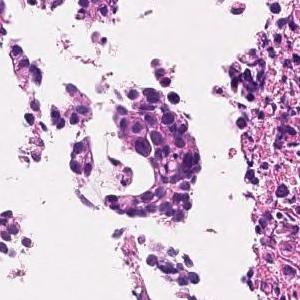
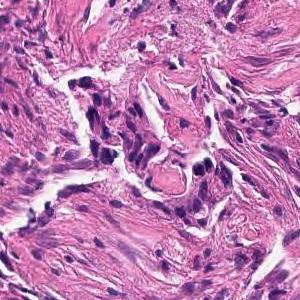
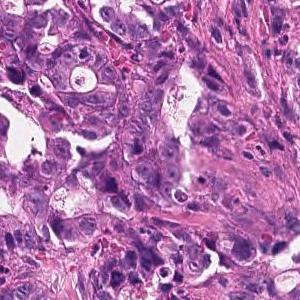
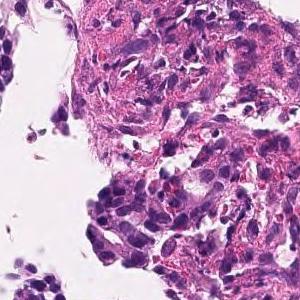
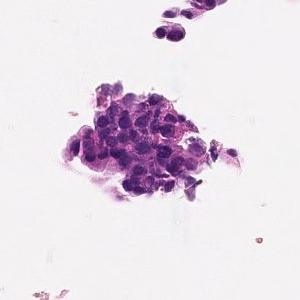
H&E stain · 5 tiles cut from one stomach biopsy slide.
Report on the slide these tiles come from. The report describes the whole slide, diagnosis included: not every finding it names need appear in these tiles, which may also show non-tumor tissue.
On the superficial epithelium, tumor tissue consisting of images of small to medium-sized and irregular tubules infiltrating with irregular fusion is observed. moderately differentiated tubular adenocarcinoma
